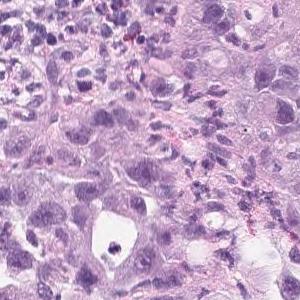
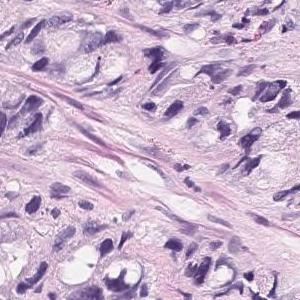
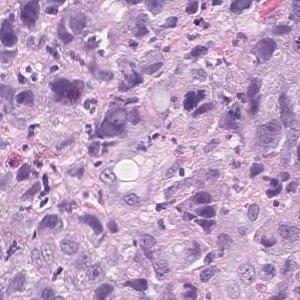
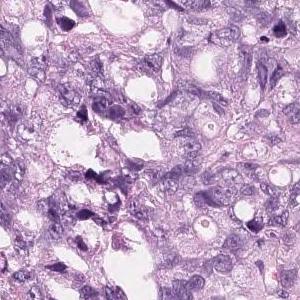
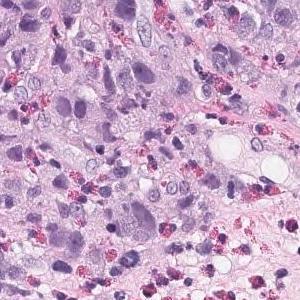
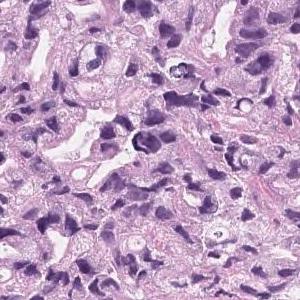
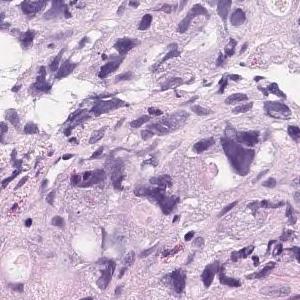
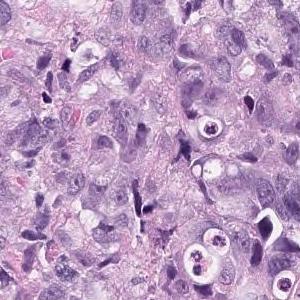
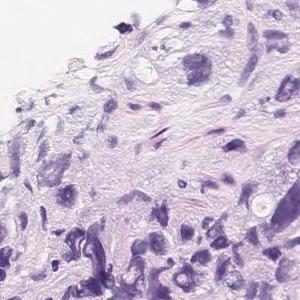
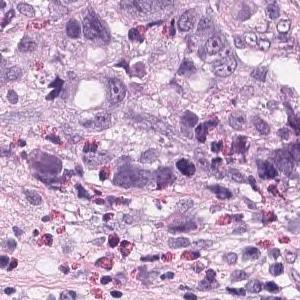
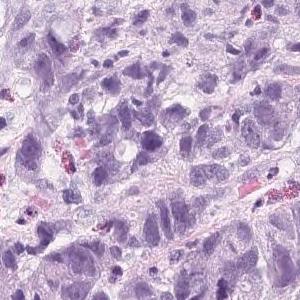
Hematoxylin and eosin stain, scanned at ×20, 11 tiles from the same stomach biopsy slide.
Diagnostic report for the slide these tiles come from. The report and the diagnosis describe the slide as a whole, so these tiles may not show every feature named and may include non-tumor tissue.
Tumor tissue that infiltrates and proliferates by forming small glandular cavities in the superficial layer to the submucosa or forming a mass is observed. moderately differentiated tubular adenocarcinoma
